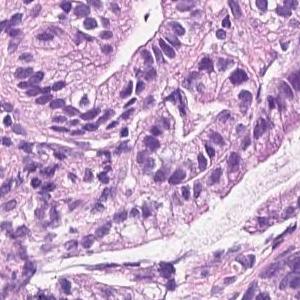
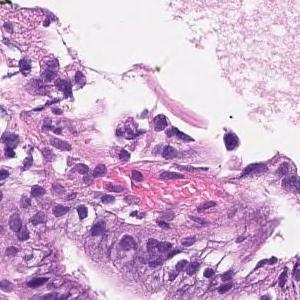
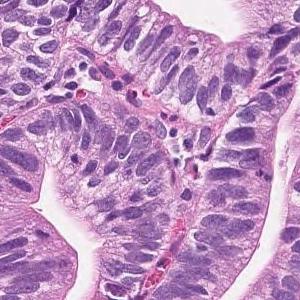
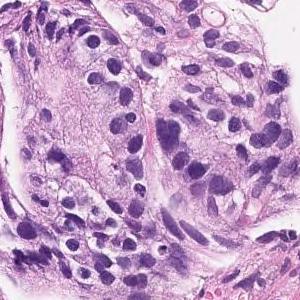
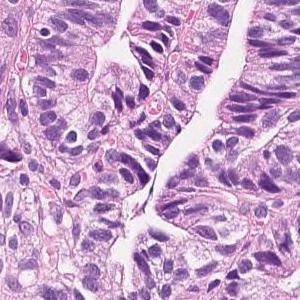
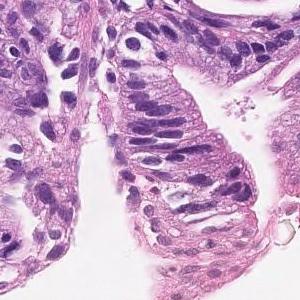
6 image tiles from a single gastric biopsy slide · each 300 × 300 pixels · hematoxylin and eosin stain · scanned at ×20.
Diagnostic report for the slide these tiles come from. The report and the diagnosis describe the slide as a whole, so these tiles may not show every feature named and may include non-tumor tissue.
On the superficial epithelium, there is a tumor tissue consisting of medium to small, irregular tubules that are partially fused and proliferated. Well to moderately differentiated tubular adenocarcinoma
